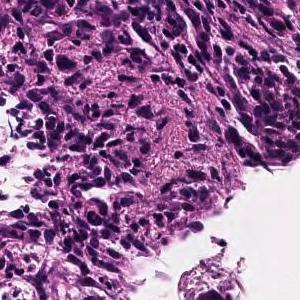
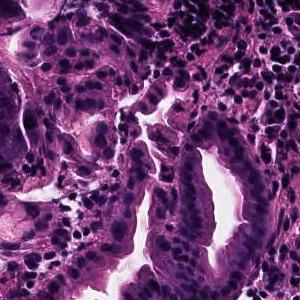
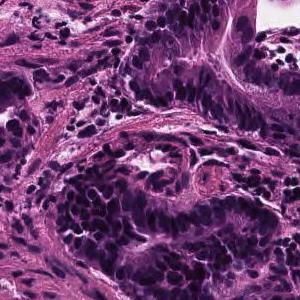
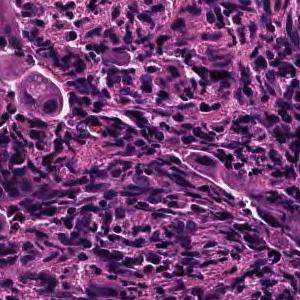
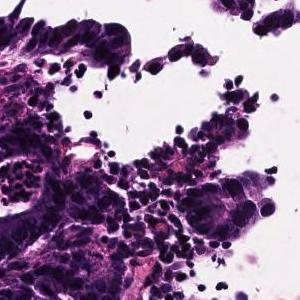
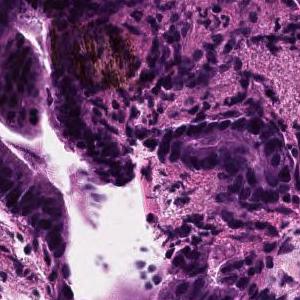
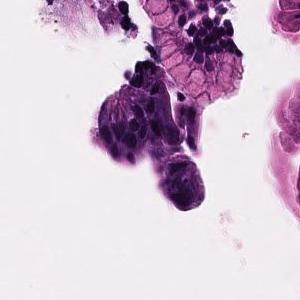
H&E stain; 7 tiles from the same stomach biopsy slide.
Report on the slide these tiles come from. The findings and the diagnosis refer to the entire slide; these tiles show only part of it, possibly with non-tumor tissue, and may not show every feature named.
On the superficial epithelium, tumor tissue consisting of large, irregular glandular ducts partially fused and infiltrated is observed. Well to moderately differentiated tubular adenocarcinoma (well differentiated tubular adenocarcinoma, moderately differentiated tubular adenocarcinoma)
Classified as well to moderately differentiated tubular adenocarcinoma.
